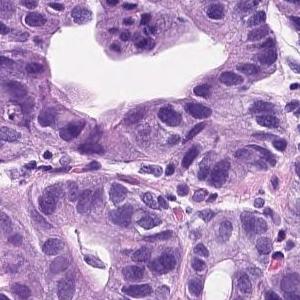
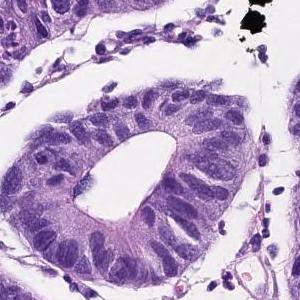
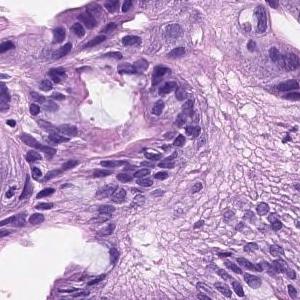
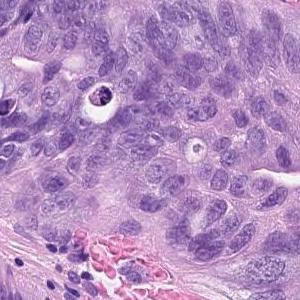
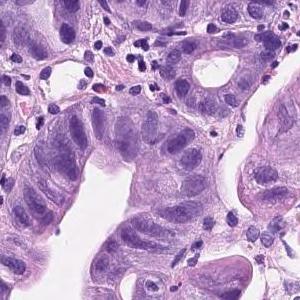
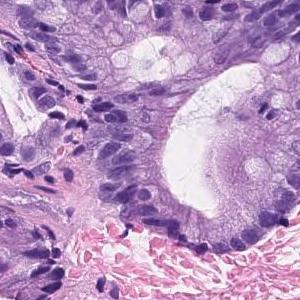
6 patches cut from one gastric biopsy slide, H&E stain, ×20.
Report on the slide these tiles come from. The report and the diagnosis describe the slide as a whole, so these tiles may not show every feature named and may include non-tumor tissue.
Tumor tissue consisting of medium-sized and irregular ducts is observed infiltrating in the superficial epithelium. Tumor cells are highly columnar, with nuclei aligned basolaterally and polarized. Well differentiated tubular adenocarcinoma.
